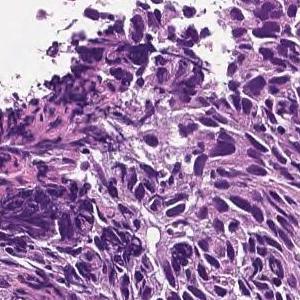
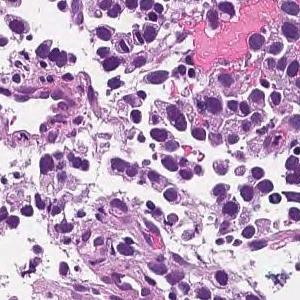
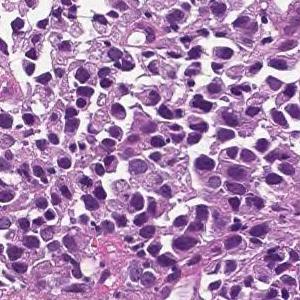
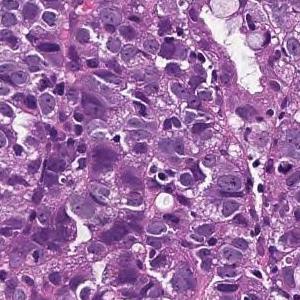
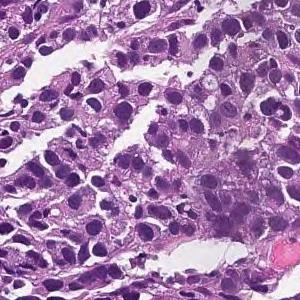
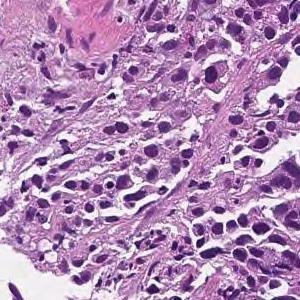
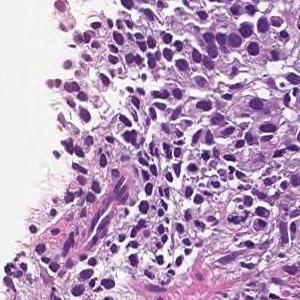
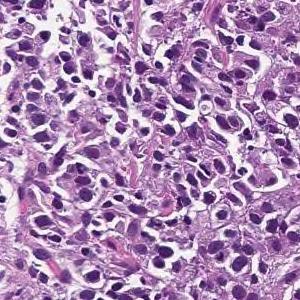
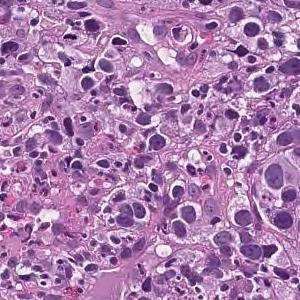
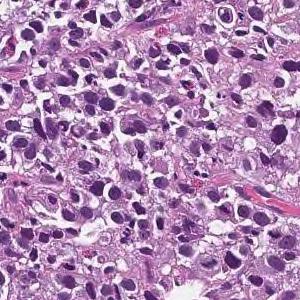
H&E, 10 image tiles from a single gastric biopsy slide, each 300 × 300 pixels.
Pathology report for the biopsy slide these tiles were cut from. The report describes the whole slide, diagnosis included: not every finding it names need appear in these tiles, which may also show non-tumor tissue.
The superficial epithelium shows a large sheet-like shape, and some tumor tissue infiltrates with small irregular ducts. Poorly differentiated adenocarcinoma, solid-type
Tumor subtype: poorly differentiated adenocarcinoma, solid type (Japanese Classification of Gastric Carcinoma). The WHO 2019 equivalent is tubular adenocarcinoma, poorly differentiated.
